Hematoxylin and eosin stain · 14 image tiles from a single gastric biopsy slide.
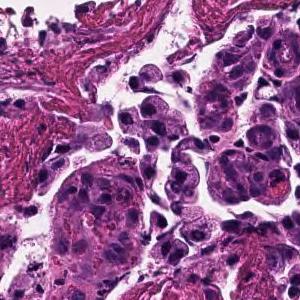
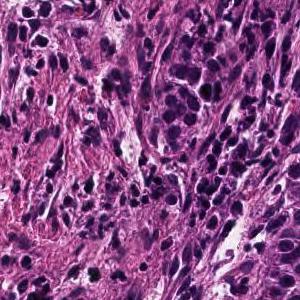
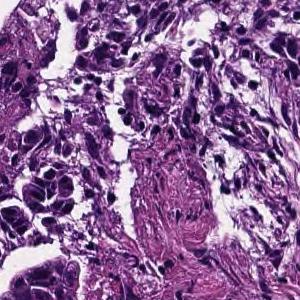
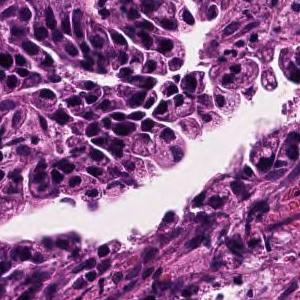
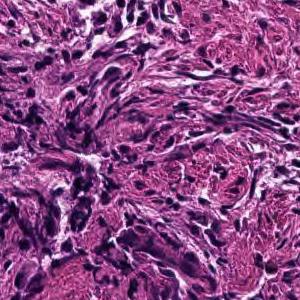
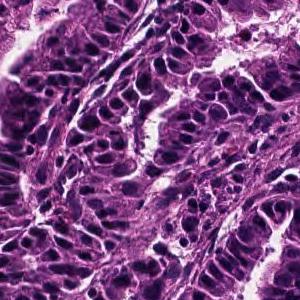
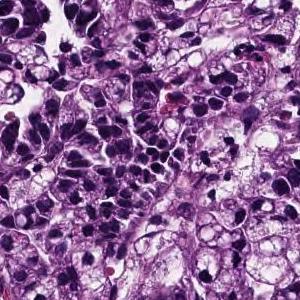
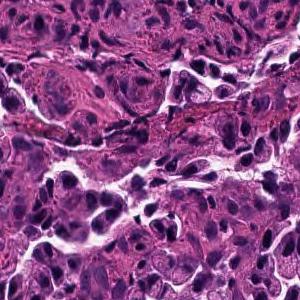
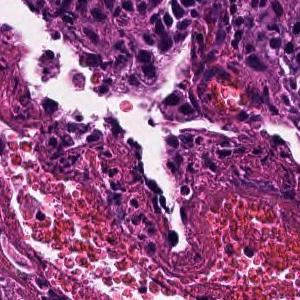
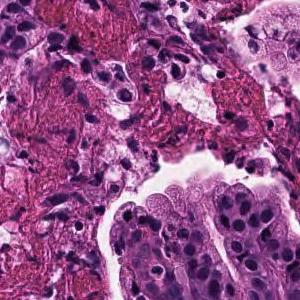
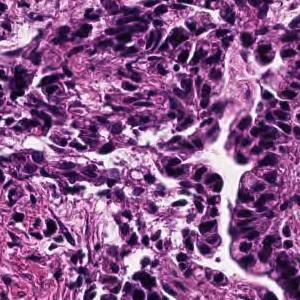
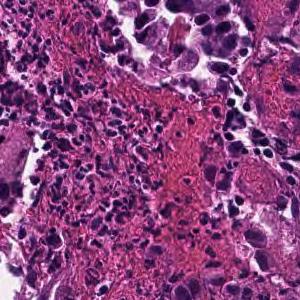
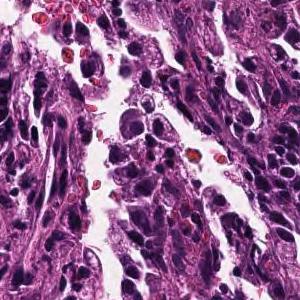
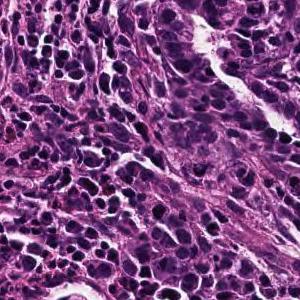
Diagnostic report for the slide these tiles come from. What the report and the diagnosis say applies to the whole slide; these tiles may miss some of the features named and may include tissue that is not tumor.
Tumor cells are large, highly columnar, large club-shaped nuclei, and are associated with chromatin aggregation. Papillary adenocarcinoma.
